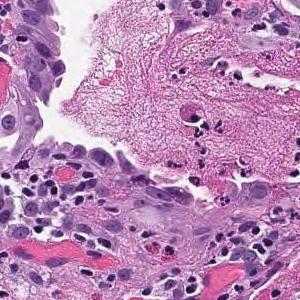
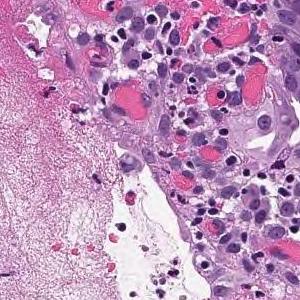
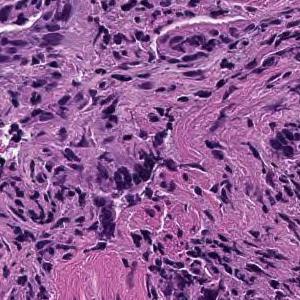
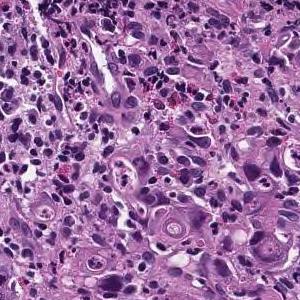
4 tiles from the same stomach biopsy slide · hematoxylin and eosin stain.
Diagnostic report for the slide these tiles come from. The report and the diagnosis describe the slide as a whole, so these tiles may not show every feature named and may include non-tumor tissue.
On the superficial epithelium, tumor tissue consisting of large, irregular glandular ducts partially fused and infiltrated is observed. Well to moderately differentiated tubular adenocarcinoma (well differentiated tubular adenocarcinoma, moderately differentiated tubular adenocarcinoma)
Classified as well to moderately differentiated tubular adenocarcinoma.
